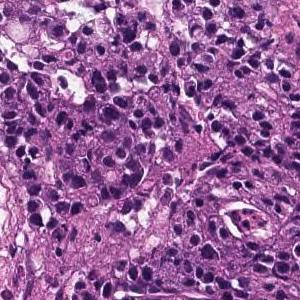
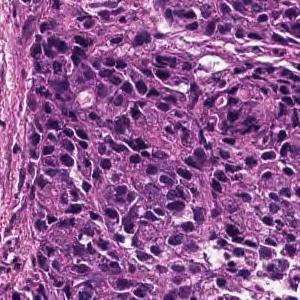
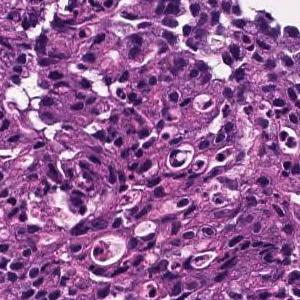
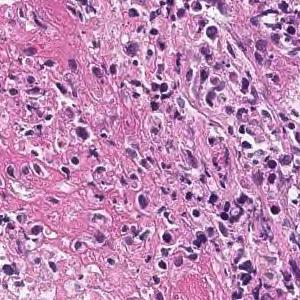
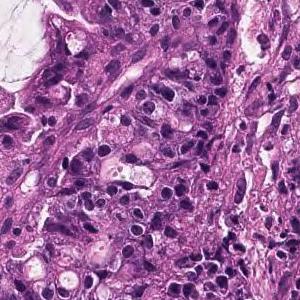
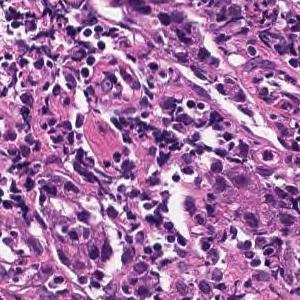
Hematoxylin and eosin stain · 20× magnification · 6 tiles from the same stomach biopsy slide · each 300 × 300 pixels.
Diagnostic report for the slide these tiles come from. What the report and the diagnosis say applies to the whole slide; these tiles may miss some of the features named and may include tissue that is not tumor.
Medium to small, irregular glandular ducts are formed in the superficial epithelium, and in some cases, the glandular ducts are fused to show solid alveolar lesions and infiltrating tumor tissue is observed. Moderately to poorly differentiated adenocarcinoma.
